5 image tiles from a single gastric biopsy slide · scanned at ×20 · H&E stain.
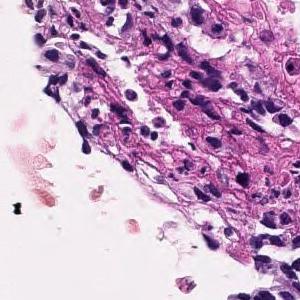
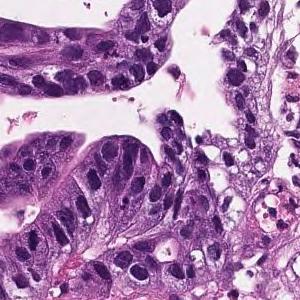
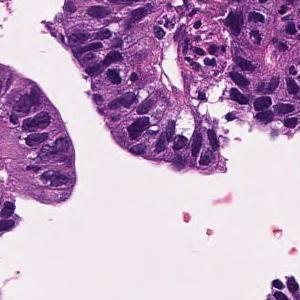
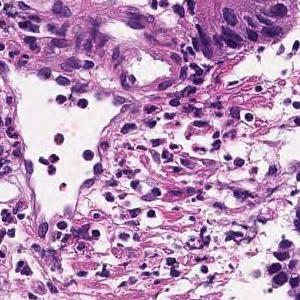
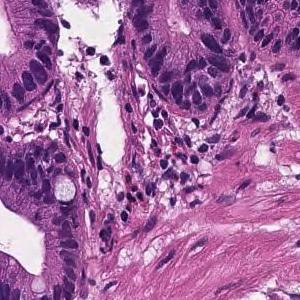
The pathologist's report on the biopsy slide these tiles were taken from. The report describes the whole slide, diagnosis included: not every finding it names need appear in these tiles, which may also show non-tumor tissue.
Tumor cells are large, highly columnar, large club-shaped nuclei, and are associated with chromatin aggregation. Papillary adenocarcinoma.
